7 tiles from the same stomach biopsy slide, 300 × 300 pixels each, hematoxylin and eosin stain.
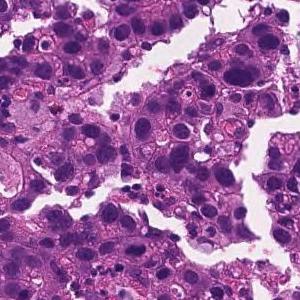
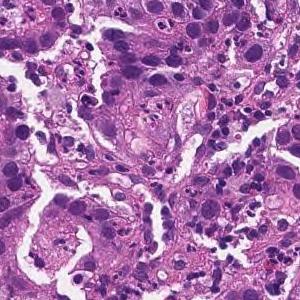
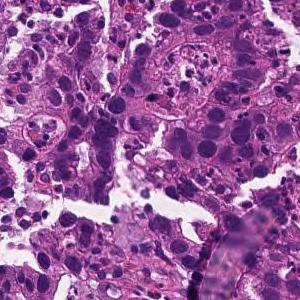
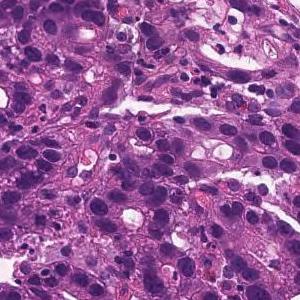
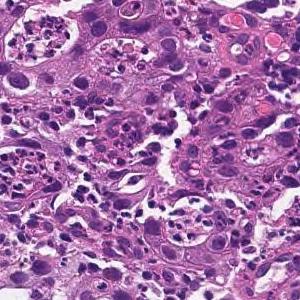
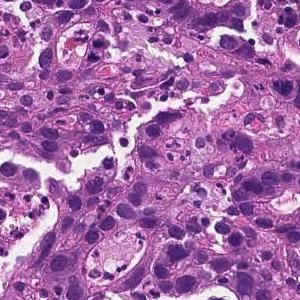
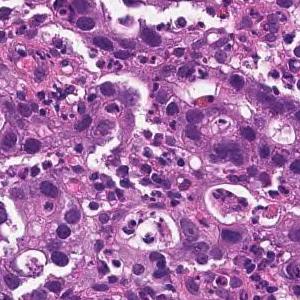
The pathologist's report on the biopsy slide these tiles were taken from. The report and the diagnosis cover the entire slide, so not every feature they name need be visible here, and some tissue shown may not be tumor.
Medium to small, irregular glandular ducts are formed in the superficial epithelium, and in some cases, the glandular ducts are fused to show solid alveolar lesions and infiltrating tumor tissue is observed. Moderately to poorly differentiated adenocarcinoma.
